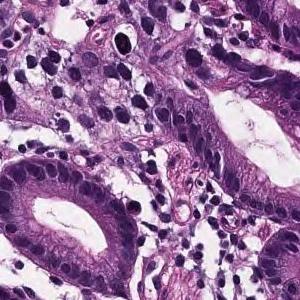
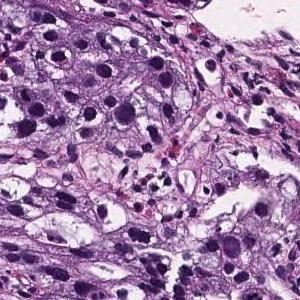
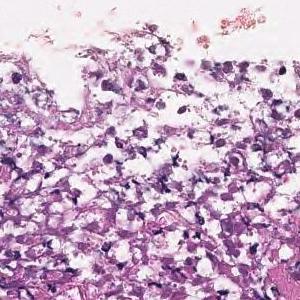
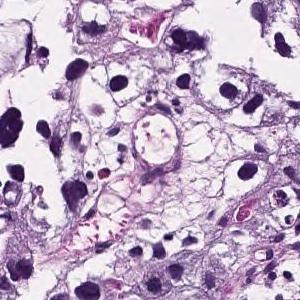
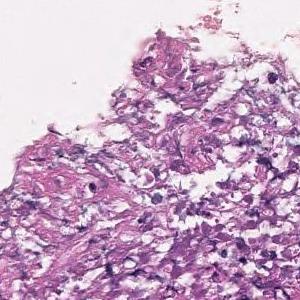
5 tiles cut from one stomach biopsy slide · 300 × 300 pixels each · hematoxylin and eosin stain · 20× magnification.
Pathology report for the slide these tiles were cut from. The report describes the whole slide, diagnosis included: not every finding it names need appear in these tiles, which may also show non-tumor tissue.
In the superficial epithelium, medium to small irregular gland ducts are formed, and in some cases, the ducts are fused to show solid alveolar lesions and infiltrating tumor tissue is observed. Moderately to poorly differentiated adenocarcinoma
